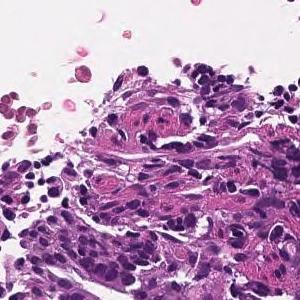
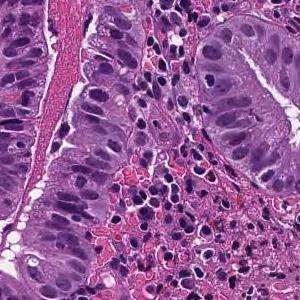
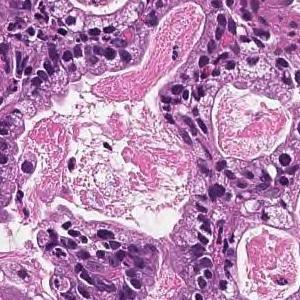
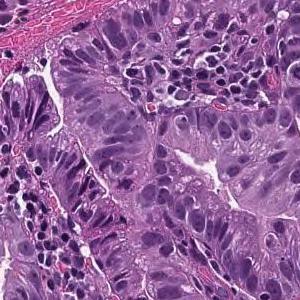
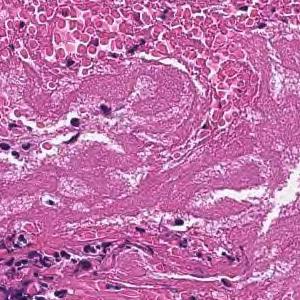
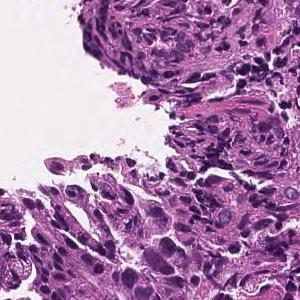
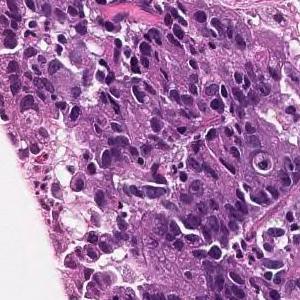
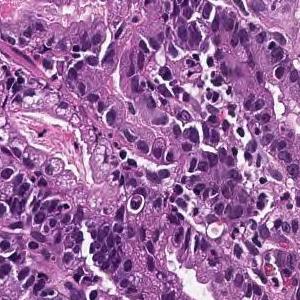
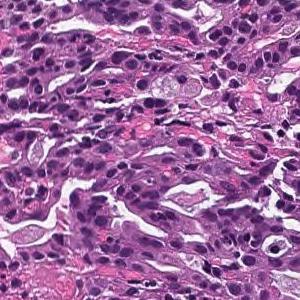
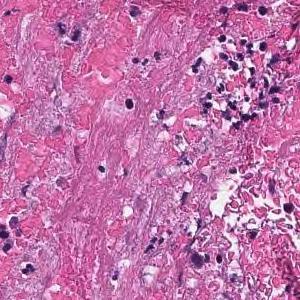
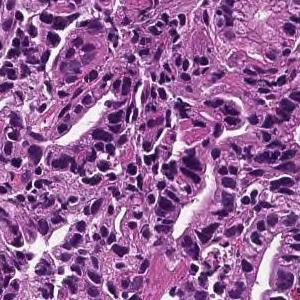
H&E, 11 tiles cut from one stomach biopsy slide, 300 × 300 pixels each.
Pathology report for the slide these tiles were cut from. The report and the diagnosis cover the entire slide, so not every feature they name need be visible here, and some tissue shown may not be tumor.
On the superficial epithelium, tumor tissue that infiltrates by forming medium-sized papillary or small irregular ducts is observed. Papillary adenocarcinoma
